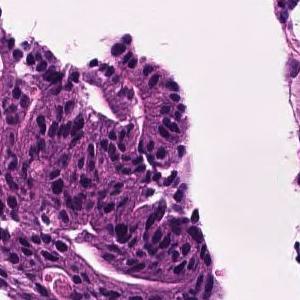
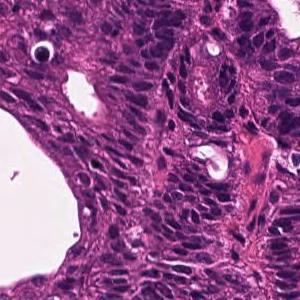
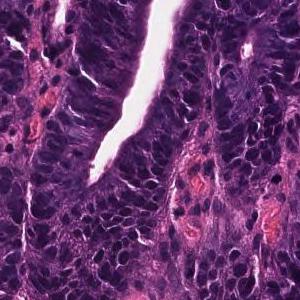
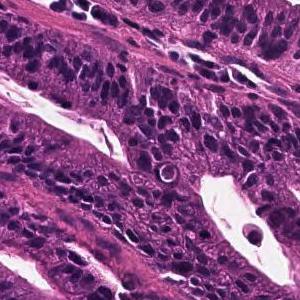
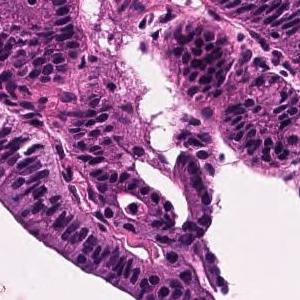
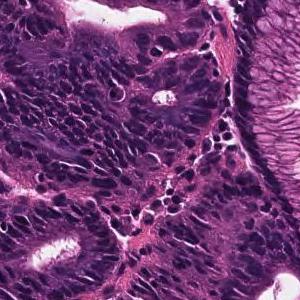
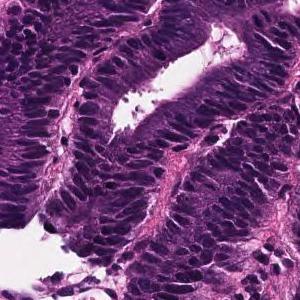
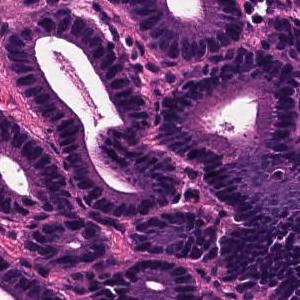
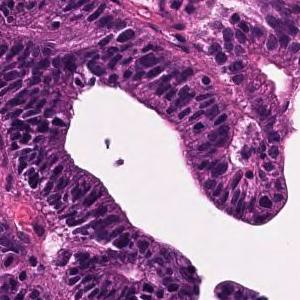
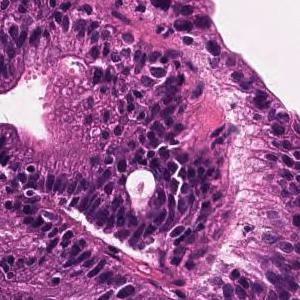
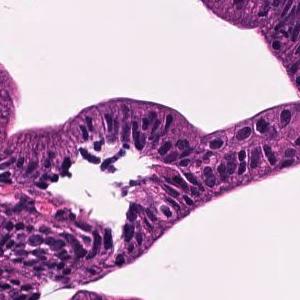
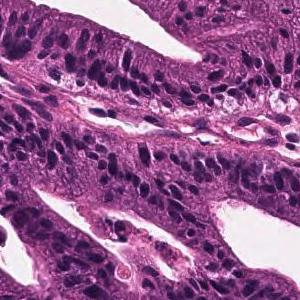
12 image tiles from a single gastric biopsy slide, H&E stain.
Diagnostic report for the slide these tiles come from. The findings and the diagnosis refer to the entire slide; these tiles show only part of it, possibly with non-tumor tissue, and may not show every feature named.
Tumor tissue that remains within the superficial epithelium and is infiltrated by large papillary or irregular ducts that fuse with each other is observed. Well differentiated tubular adenocarcinoma
